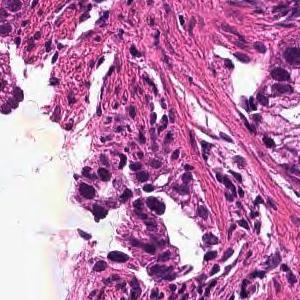
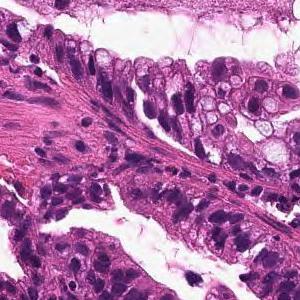
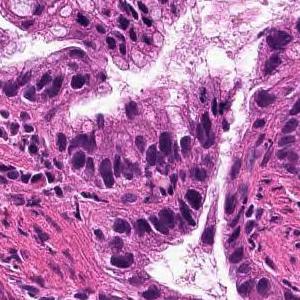
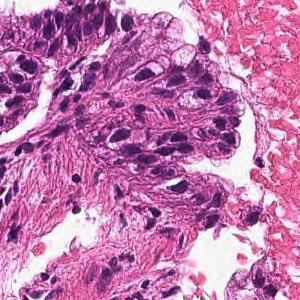
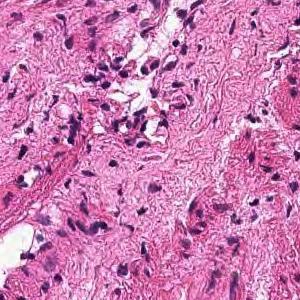
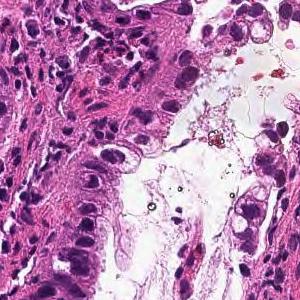
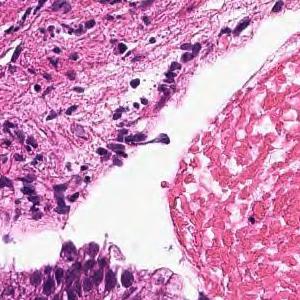
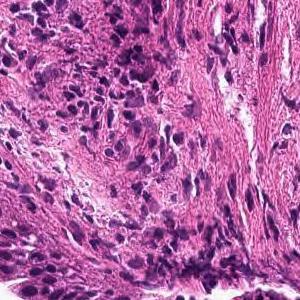
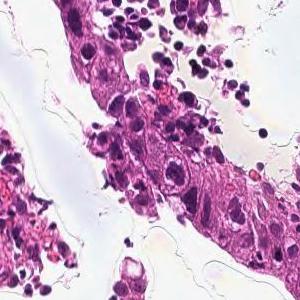
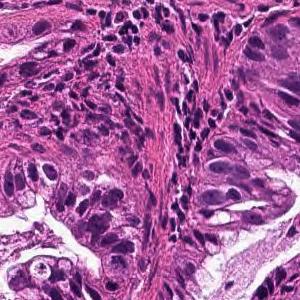
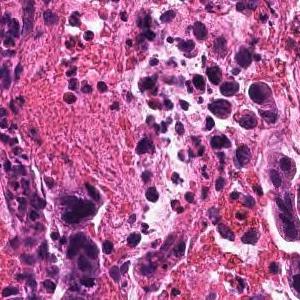
11 tiles from the same stomach biopsy slide, 20× magnification, H&E.
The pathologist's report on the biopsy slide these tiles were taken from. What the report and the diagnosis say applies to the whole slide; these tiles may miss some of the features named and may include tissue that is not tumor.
From the superficial epithelium to the muscularis mucosae, tumor tissue infiltrating by forming medium-sized irregular gland ducts is observed. Well differentiated tubular adenocarcinoma
